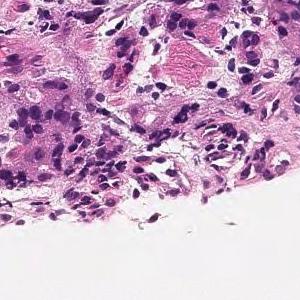
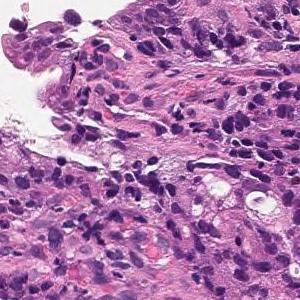
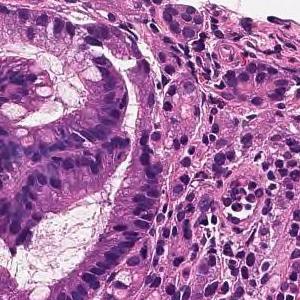
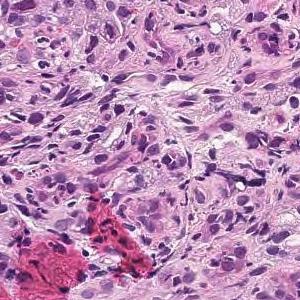
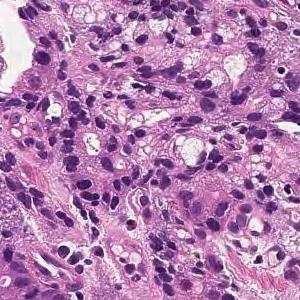
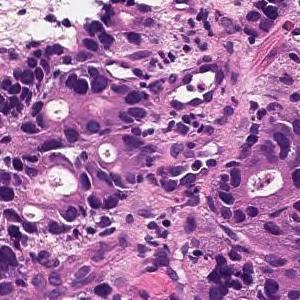
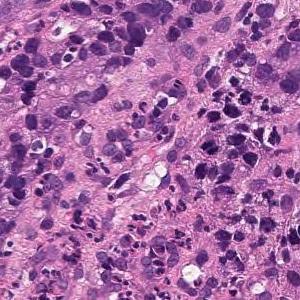
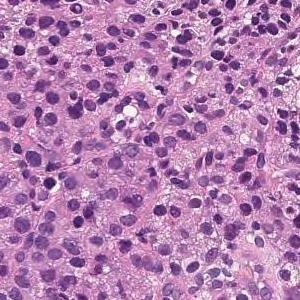
H&E stain · 20× magnification · 8 tiles cut from one stomach biopsy slide · 300 × 300 pixels each.
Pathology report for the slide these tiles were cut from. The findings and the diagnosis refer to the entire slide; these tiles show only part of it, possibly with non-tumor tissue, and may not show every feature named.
In the superficial epithelium, medium to small irregular gland ducts are formed, and in some cases, the ducts are fused to show solid alveolar lesions and infiltrating tumor tissue is observed. moderately differentiated tubular adenocarcinoma or poorly differentiated adenocarcinoma, solid-type (poorly differentiated adenocarcinoma, solid type)
Labeled in the dataset as poorly differentiated adenocarcinoma, solid type (Japanese Classification of Gastric Carcinoma). The WHO 2019 equivalent is tubular adenocarcinoma, poorly differentiated.
